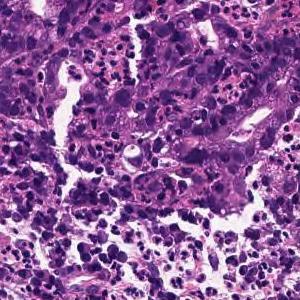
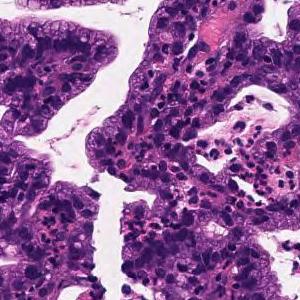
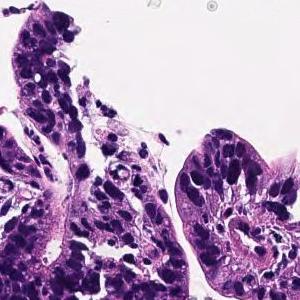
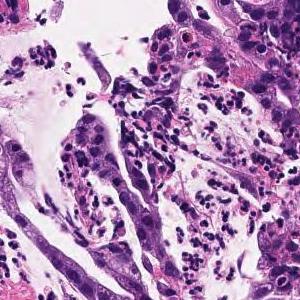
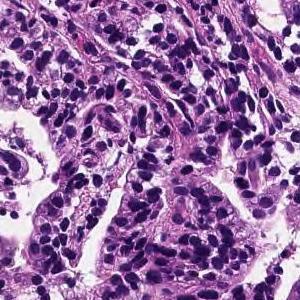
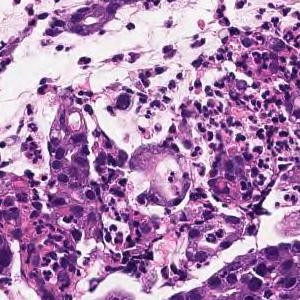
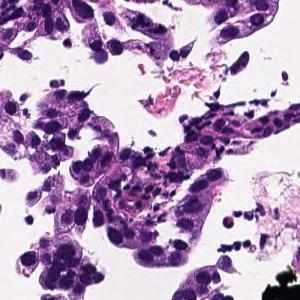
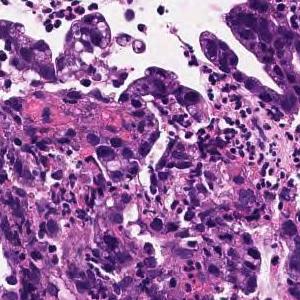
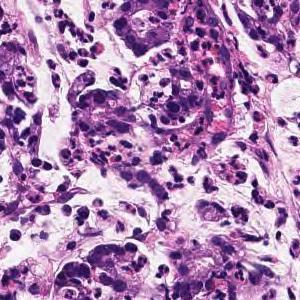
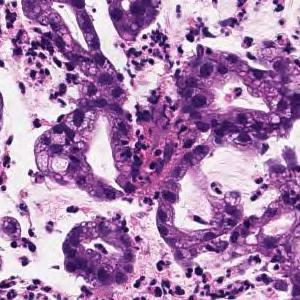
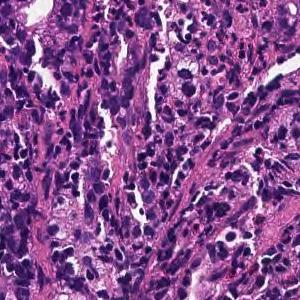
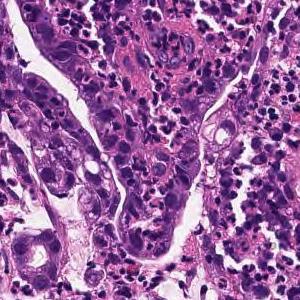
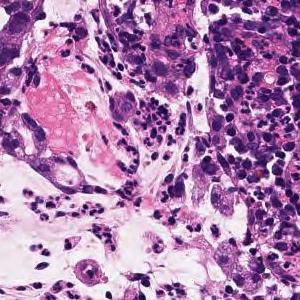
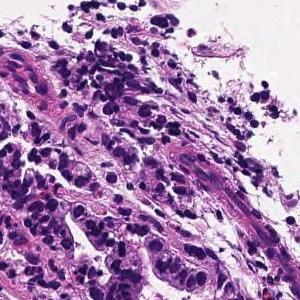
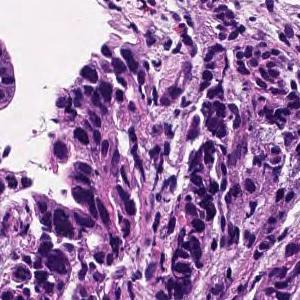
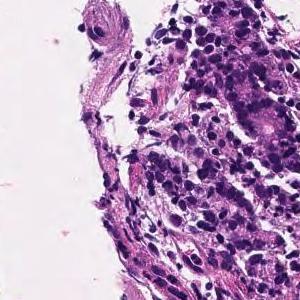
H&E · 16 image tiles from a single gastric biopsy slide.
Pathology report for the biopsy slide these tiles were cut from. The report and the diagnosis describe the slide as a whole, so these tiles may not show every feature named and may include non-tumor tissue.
On the superficial epithelium, tumor tissue consisting of large, irregular glandular ducts partially fused and infiltrated is observed. Well to moderately differentiated tubular adenocarcinoma (well differentiated tubular adenocarcinoma, moderately differentiated tubular adenocarcinoma)
Subtype: Well to moderately differentiated tubular adenocarcinoma.
